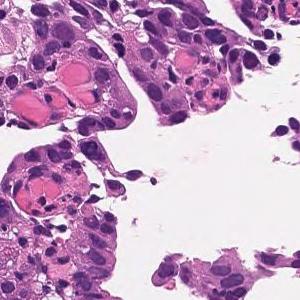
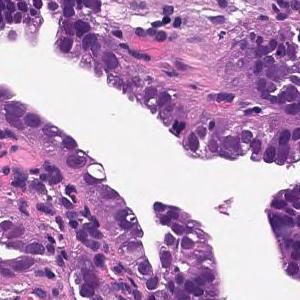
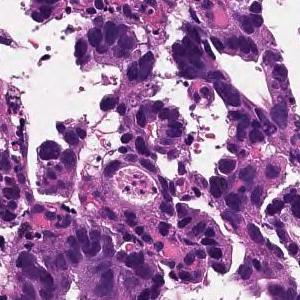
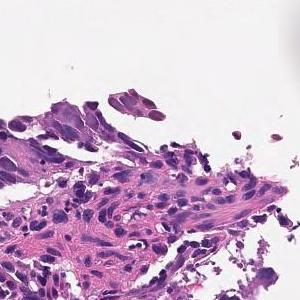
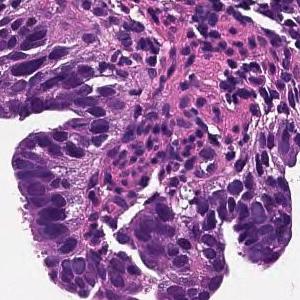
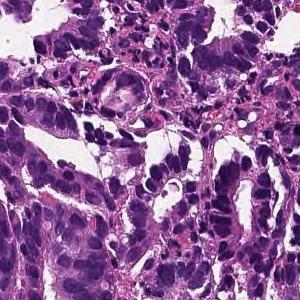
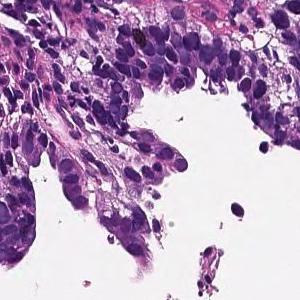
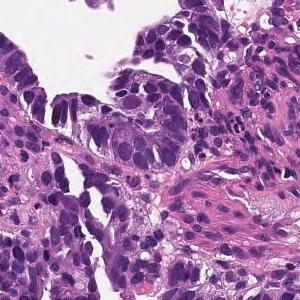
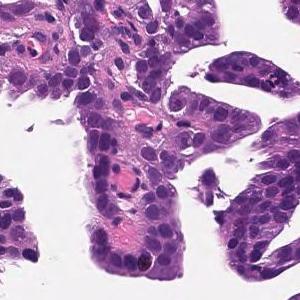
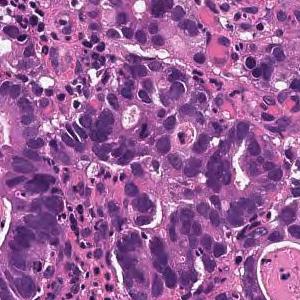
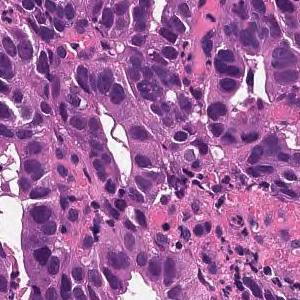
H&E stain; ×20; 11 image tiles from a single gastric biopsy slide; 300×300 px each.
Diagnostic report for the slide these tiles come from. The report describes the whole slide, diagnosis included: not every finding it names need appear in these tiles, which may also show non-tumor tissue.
Tumor cells are large, highly columnar, large club-shaped nuclei, and are associated with chromatin aggregation. Papillary adenocarcinoma.
